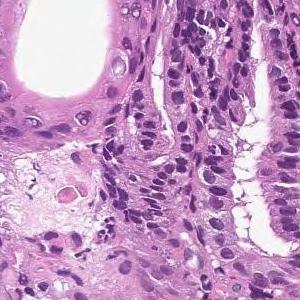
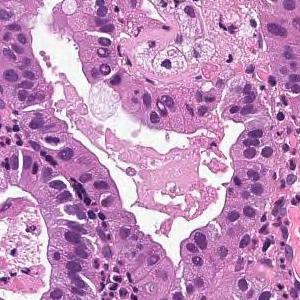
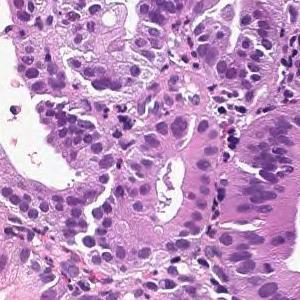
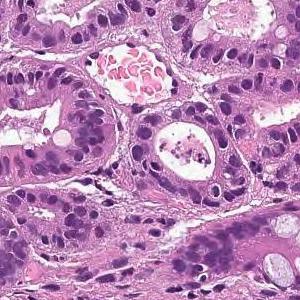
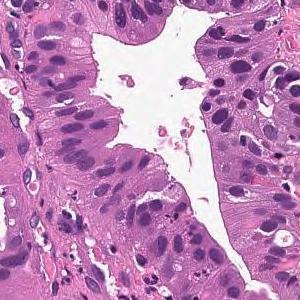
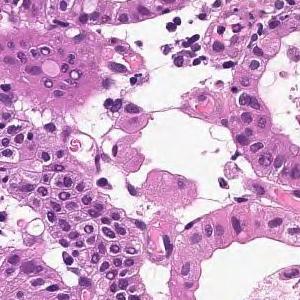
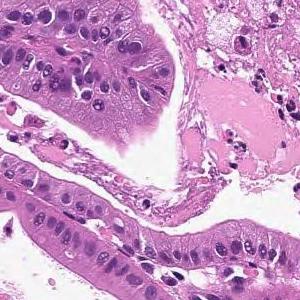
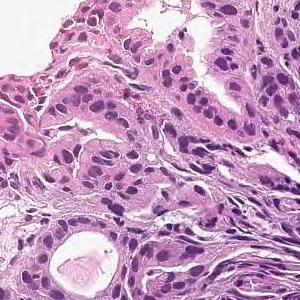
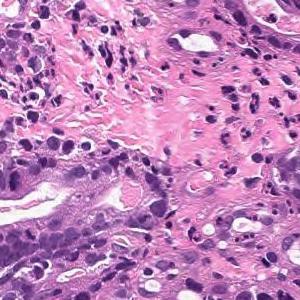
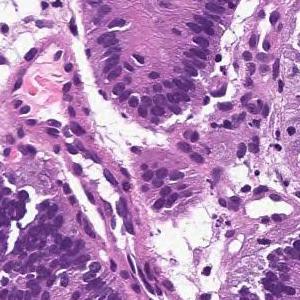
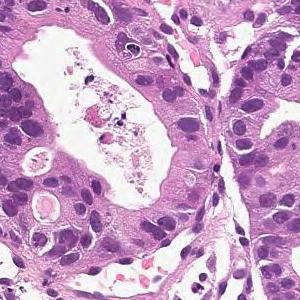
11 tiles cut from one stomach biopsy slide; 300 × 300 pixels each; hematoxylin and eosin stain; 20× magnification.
The pathologist's report on the biopsy slide these tiles were taken from. The report describes the whole slide, diagnosis included: not every finding it names need appear in these tiles, which may also show non-tumor tissue.
From the superficial epithelium to the muscularis mucosae, tumor tissue consisting of medium-sized and irregular glandular ducts infiltrating is observed. Well differentiated tubular adenocarcinoma
